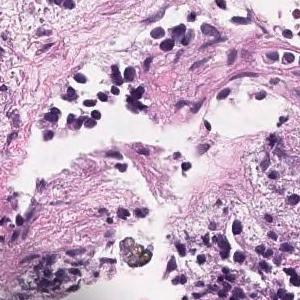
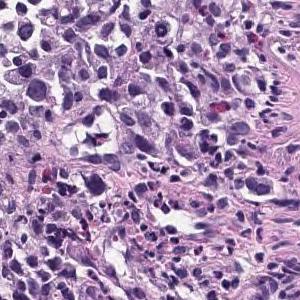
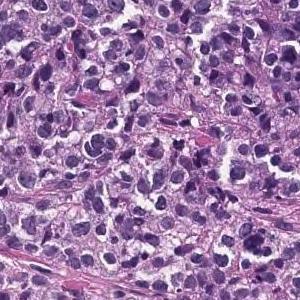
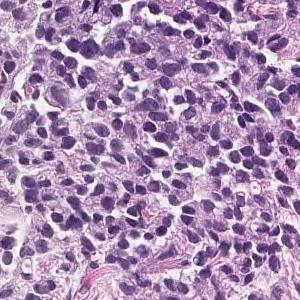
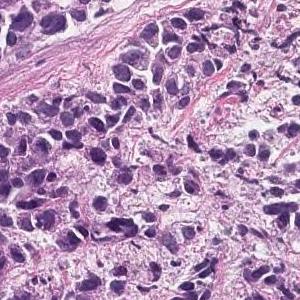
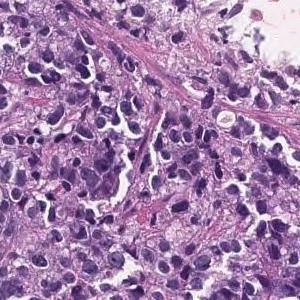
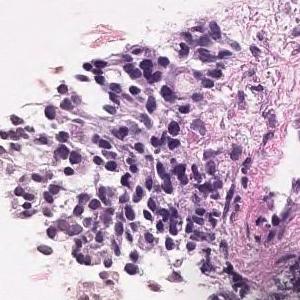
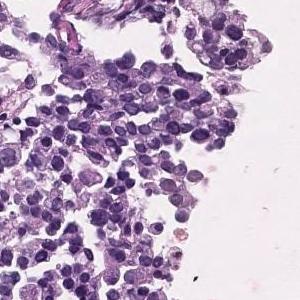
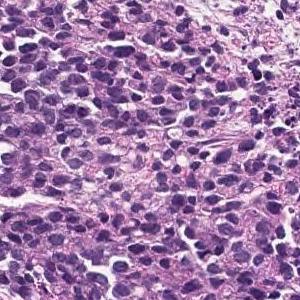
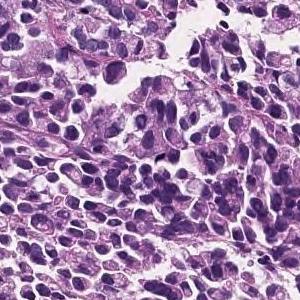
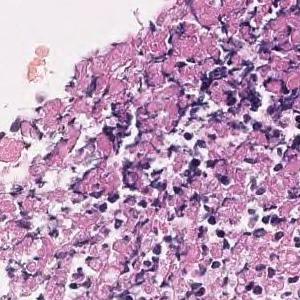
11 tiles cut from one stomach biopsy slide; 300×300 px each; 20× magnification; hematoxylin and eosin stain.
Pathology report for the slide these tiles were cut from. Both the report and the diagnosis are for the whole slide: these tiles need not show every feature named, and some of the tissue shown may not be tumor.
The superficial epithelium shows a large sheet-like shape, and some tumor tissue infiltrates with small irregular ducts. Poorly differentiated adenocarcinoma, solid-type
Histologic type: Poorly differentiated adenocarcinoma, solid type. This name comes from the Japanese Classification of Gastric Carcinoma; the WHO 2019 classification calls it tubular adenocarcinoma, poorly differentiated.
